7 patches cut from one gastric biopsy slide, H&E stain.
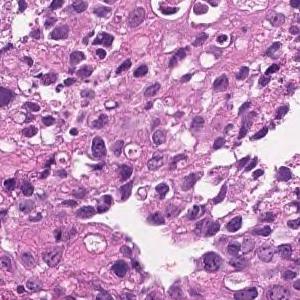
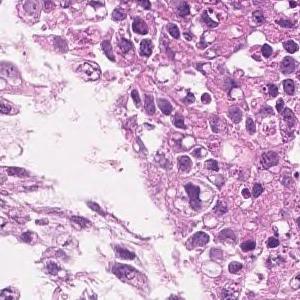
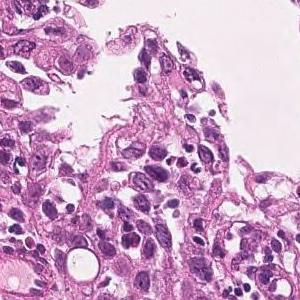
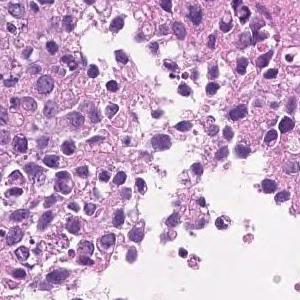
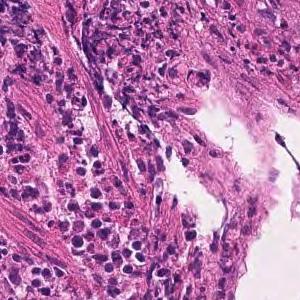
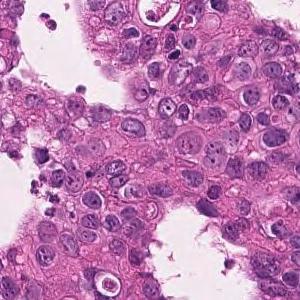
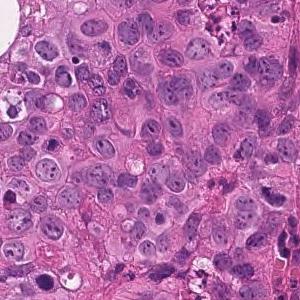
Pathology report for the slide these tiles were cut from. The report and the diagnosis cover the entire slide, so not every feature they name need be visible here, and some tissue shown may not be tumor.
The superficial epithelium shows a large sheet-like shape, and some tumor tissue infiltrates with small irregular ducts. Poorly differentiated adenocarcinoma, solid-type
Histologic type: Poorly differentiated adenocarcinoma, solid type. This name comes from the Japanese Classification of Gastric Carcinoma; the WHO 2019 classification calls it tubular adenocarcinoma, poorly differentiated.
